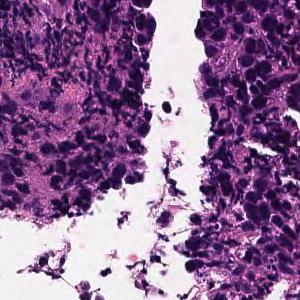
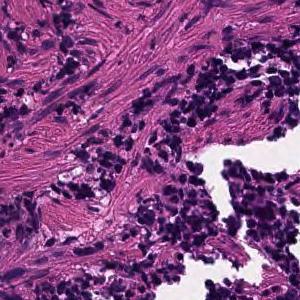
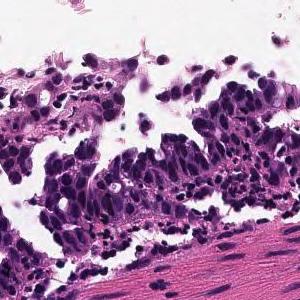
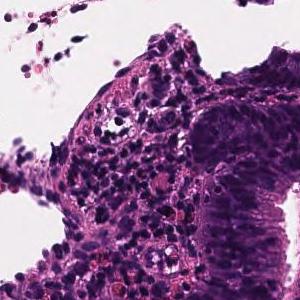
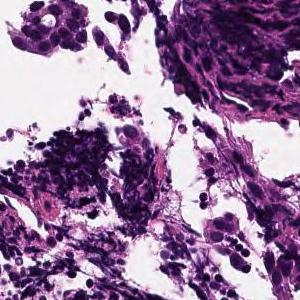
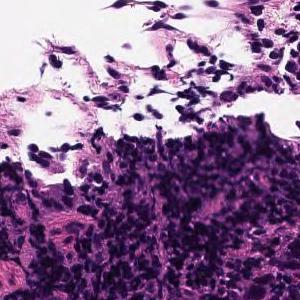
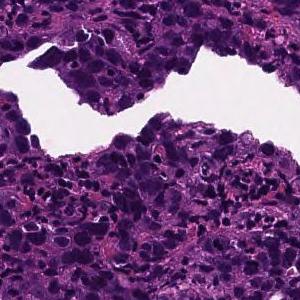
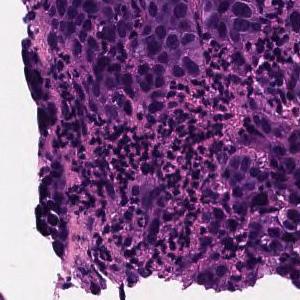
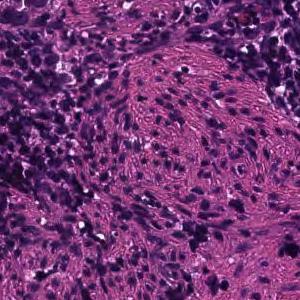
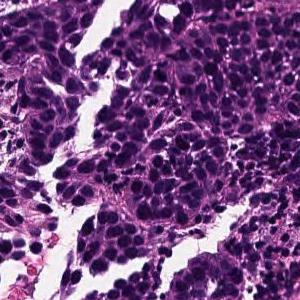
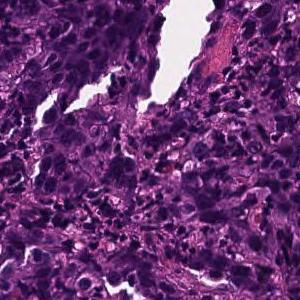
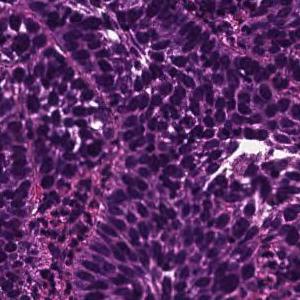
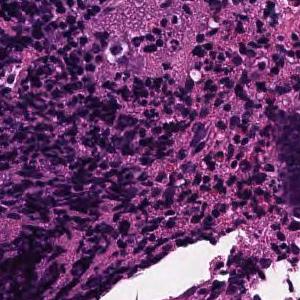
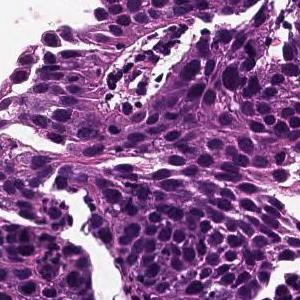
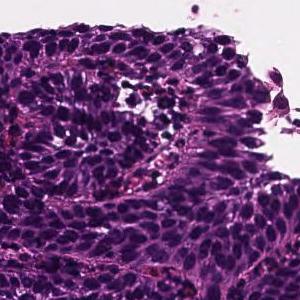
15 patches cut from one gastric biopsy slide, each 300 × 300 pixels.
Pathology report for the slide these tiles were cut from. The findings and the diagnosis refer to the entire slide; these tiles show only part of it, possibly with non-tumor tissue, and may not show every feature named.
Tumor tissue consisting of cord-like or small, irregular glandular ducts fused and infiltrated is observed in the superficial epithelium. Poorly differentiated adenocarcinoma, non-solid type
"Non-solid type" is a category of the Japanese Classification of Gastric Carcinoma.
